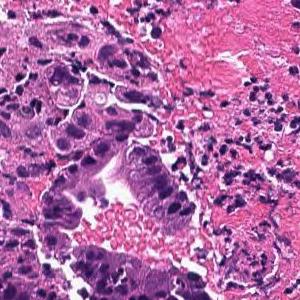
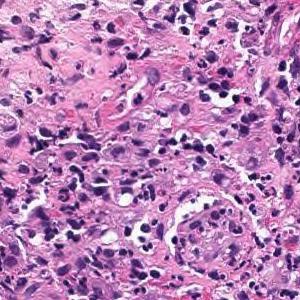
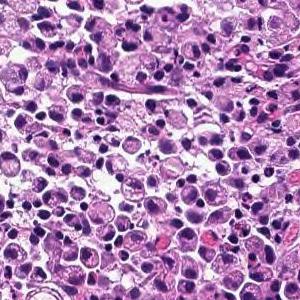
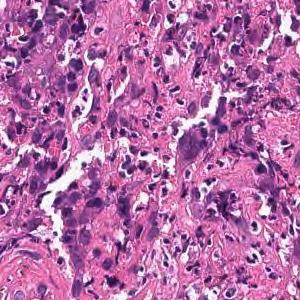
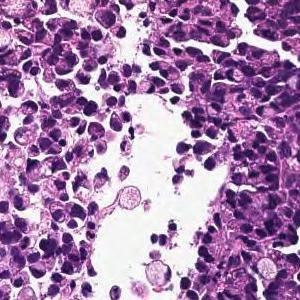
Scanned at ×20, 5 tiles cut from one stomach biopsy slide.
Pathology report for the slide these tiles were cut from. Both the report and the diagnosis are for the whole slide: these tiles need not show every feature named, and some of the tissue shown may not be tumor.
Tumor tissue consisting of diffusely infiltrated large atypical epithelial cells or signet ring atypical cells is observed in the superficial epithelium. Poorly differentiated adenocarcinoma, solid-type
Histologic type: Poorly differentiated adenocarcinoma, solid type (Japanese Classification of Gastric Carcinoma). The WHO 2019 equivalent is tubular adenocarcinoma, poorly differentiated.
